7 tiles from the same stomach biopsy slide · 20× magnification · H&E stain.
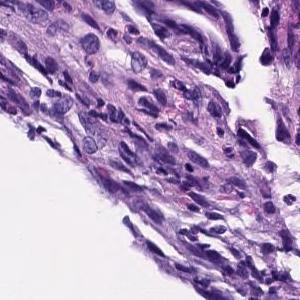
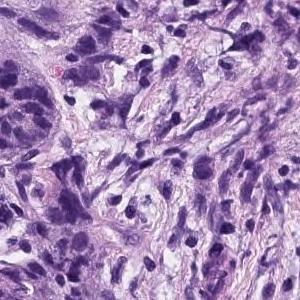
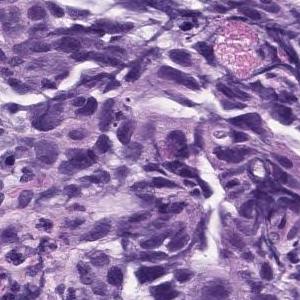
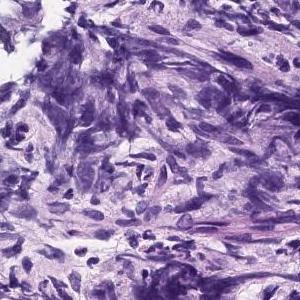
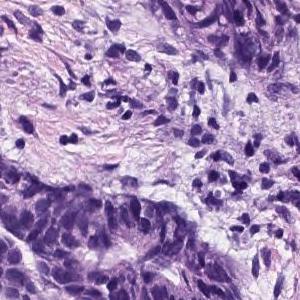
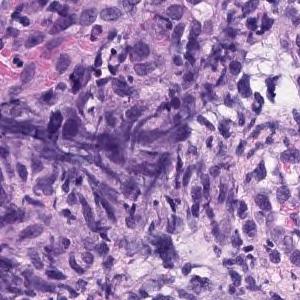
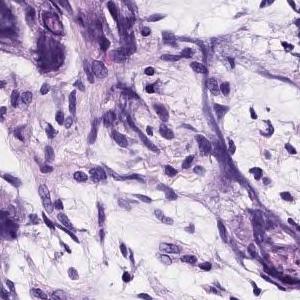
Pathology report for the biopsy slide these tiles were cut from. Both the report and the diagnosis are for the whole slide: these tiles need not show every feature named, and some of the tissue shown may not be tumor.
Atypical epithelial cells with an increased N/C ratio proliferate and consist of a part that shows the formation of gland ducts and a part that shows solid growth. Poorly differentiated adenocarcinoma, solid-type
Tumor subtype: poorly differentiated adenocarcinoma, solid type (Japanese Classification of Gastric Carcinoma). The WHO 2019 equivalent is tubular adenocarcinoma, poorly differentiated.
